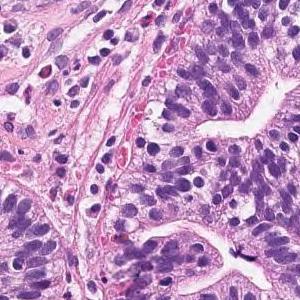
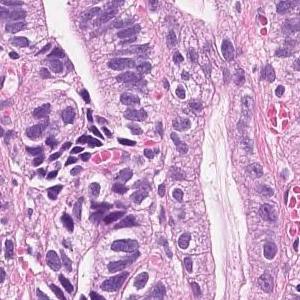
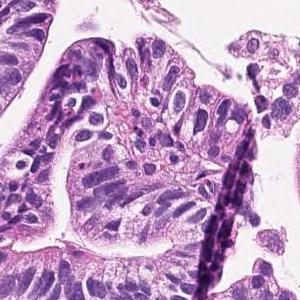
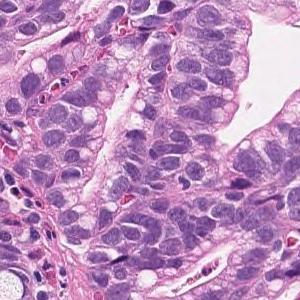
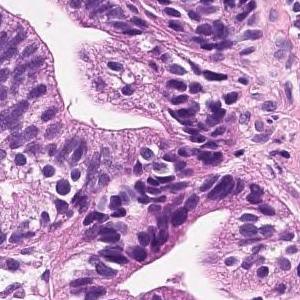
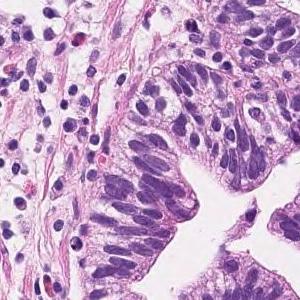
6 tiles from the same stomach biopsy slide.
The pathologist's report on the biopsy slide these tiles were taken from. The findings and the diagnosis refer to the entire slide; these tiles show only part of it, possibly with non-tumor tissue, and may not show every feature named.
On the superficial epithelium, there is a tumor tissue consisting of medium to small, irregular tubules that are partially fused and proliferated. Well to moderately differentiated tubular adenocarcinoma
